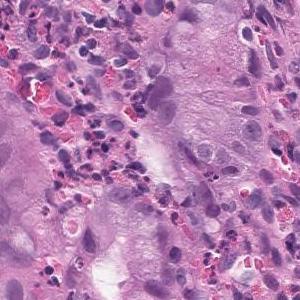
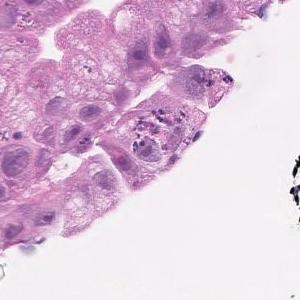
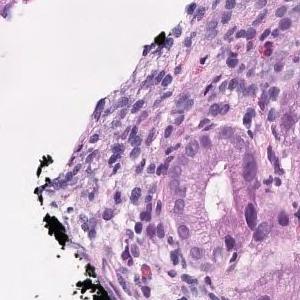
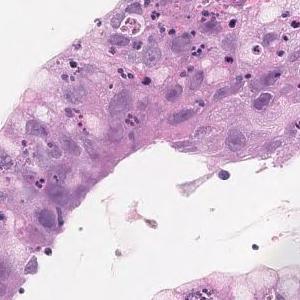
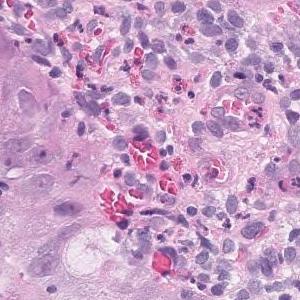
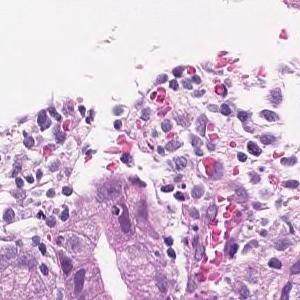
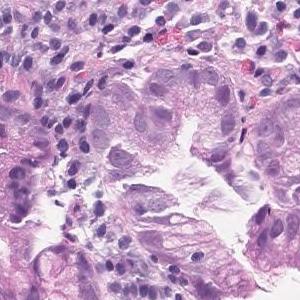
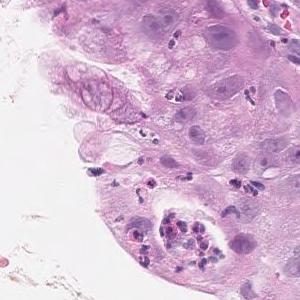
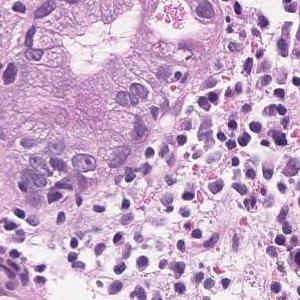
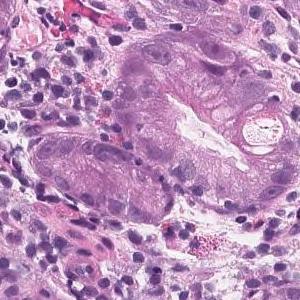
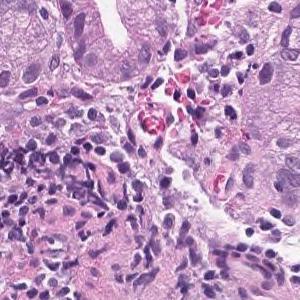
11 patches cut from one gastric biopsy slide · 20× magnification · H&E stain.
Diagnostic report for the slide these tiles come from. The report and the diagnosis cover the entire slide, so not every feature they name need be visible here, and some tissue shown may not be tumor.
Group 5, Adenocarcinoma. Moderately differentiated tubular adenocarcinoma
